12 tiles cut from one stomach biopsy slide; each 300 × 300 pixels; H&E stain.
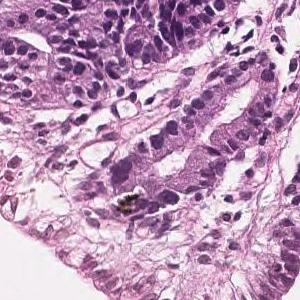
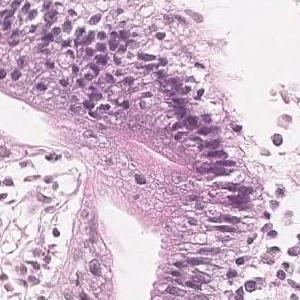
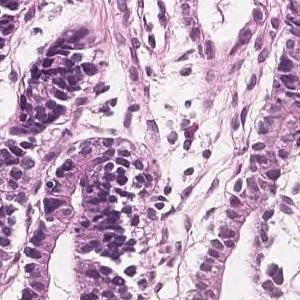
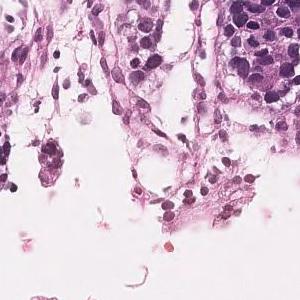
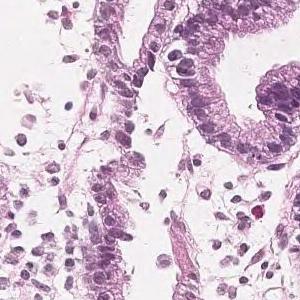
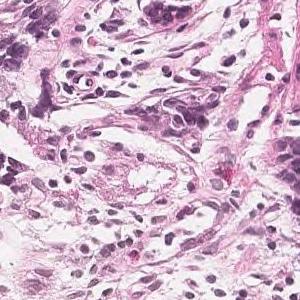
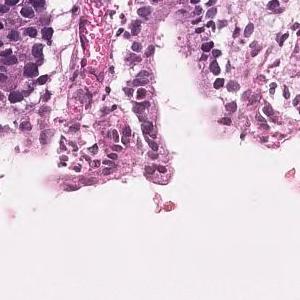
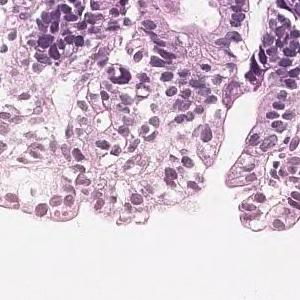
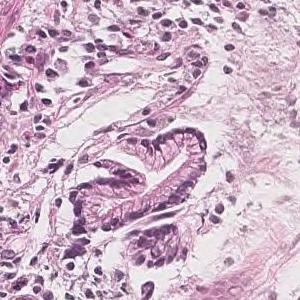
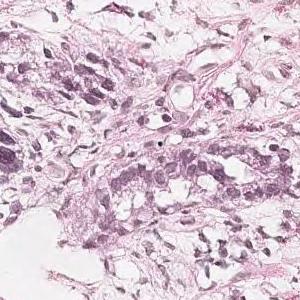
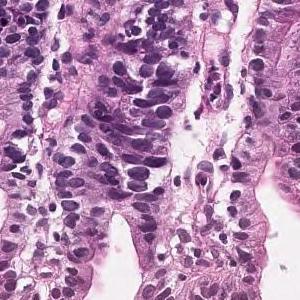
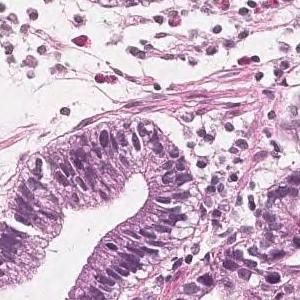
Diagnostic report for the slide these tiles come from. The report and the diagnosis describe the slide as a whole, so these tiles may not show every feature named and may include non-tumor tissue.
Most of the tumor remains in the epithelium and shows a medium-sized circular system or irregular ducts, showing proliferating and developing tumor tissue. Well differentiated tubular adenocarcinoma
